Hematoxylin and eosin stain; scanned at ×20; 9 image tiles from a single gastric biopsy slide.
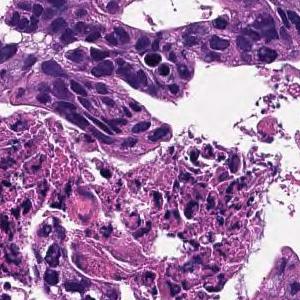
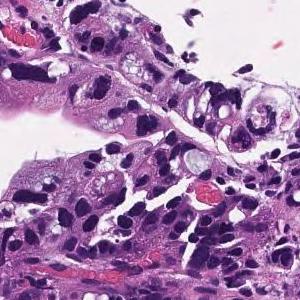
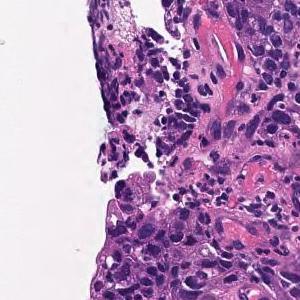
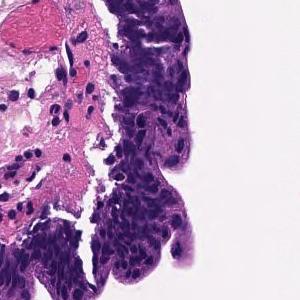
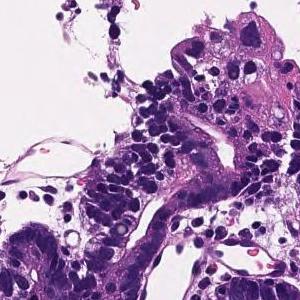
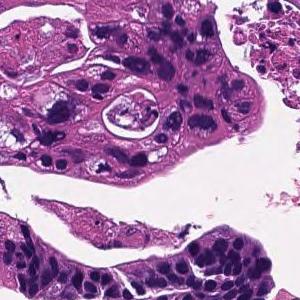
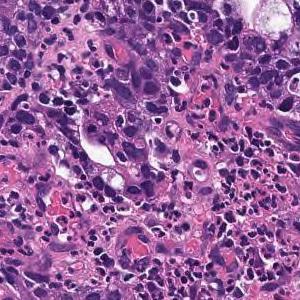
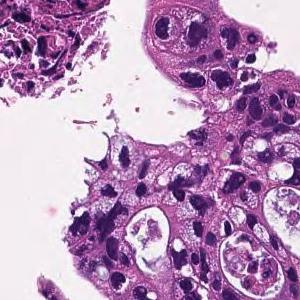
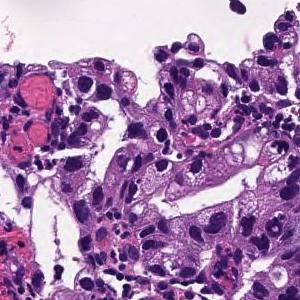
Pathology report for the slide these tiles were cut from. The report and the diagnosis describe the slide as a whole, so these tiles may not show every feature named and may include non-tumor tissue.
In the superficial epithelium, tumor tissue that invades by forming medium-sized to small, irregular ducts is observed. moderately differentiated tubular adenocarcinoma.
